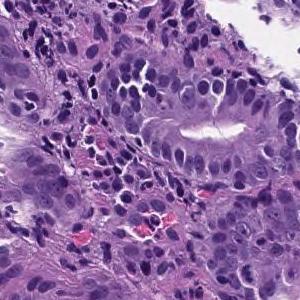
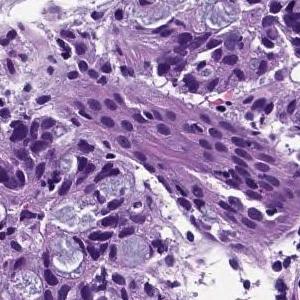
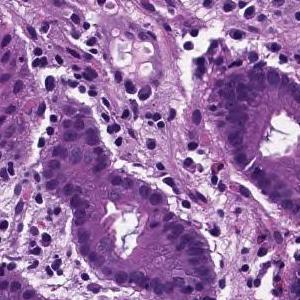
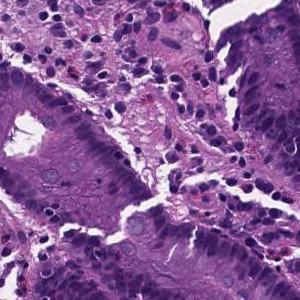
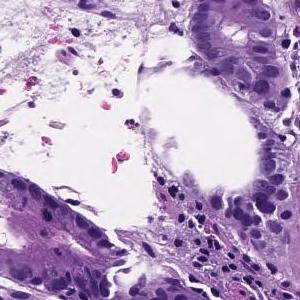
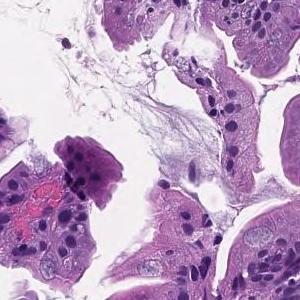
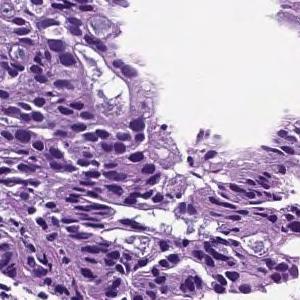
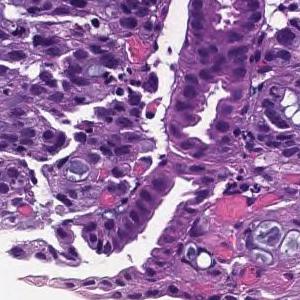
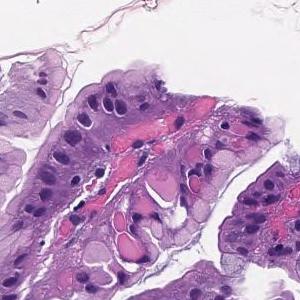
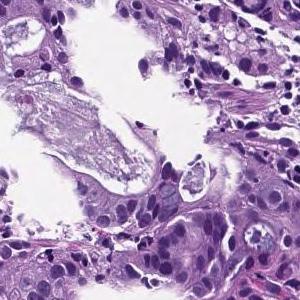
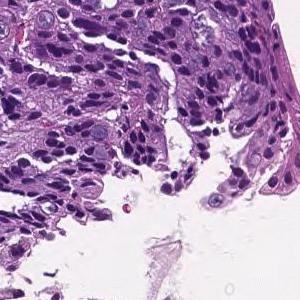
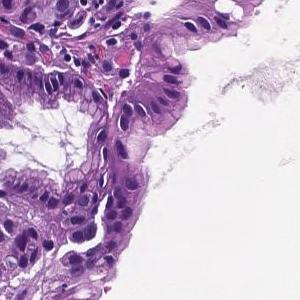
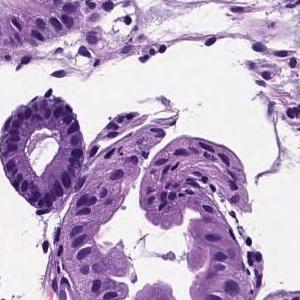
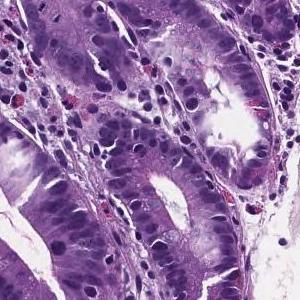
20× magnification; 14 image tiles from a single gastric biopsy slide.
Diagnostic report for the slide these tiles come from. The report and the diagnosis describe the slide as a whole, so these tiles may not show every feature named and may include non-tumor tissue.
In the superficial epithelium, tumor tissue that invades by forming medium-sized to small, irregular ducts is observed. moderately differentiated tubular adenocarcinoma.
